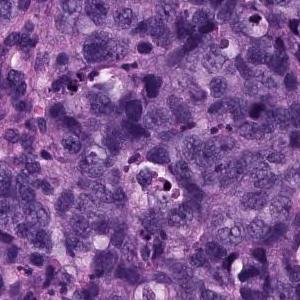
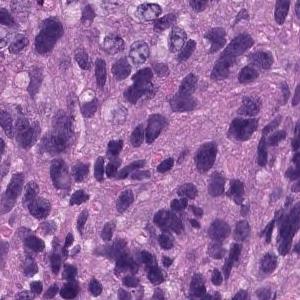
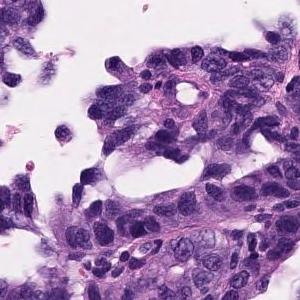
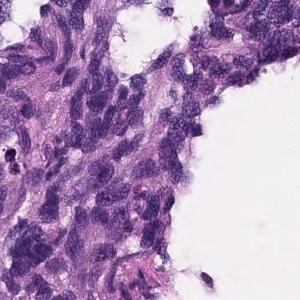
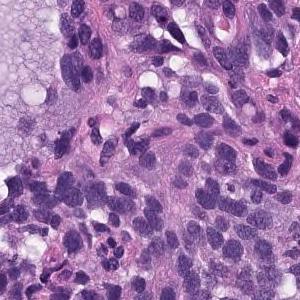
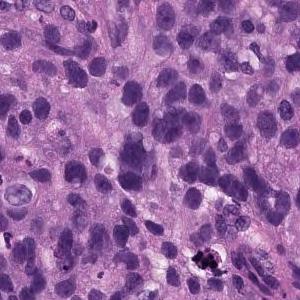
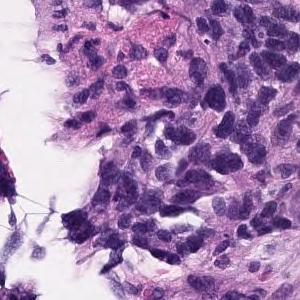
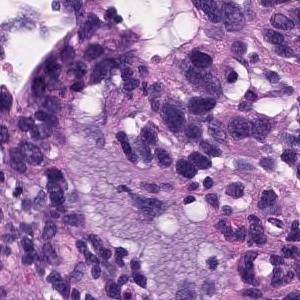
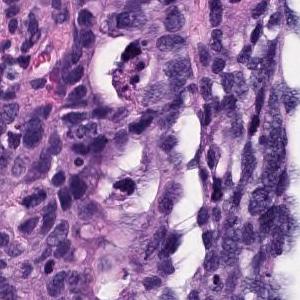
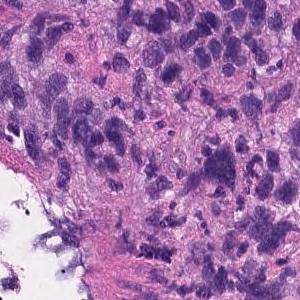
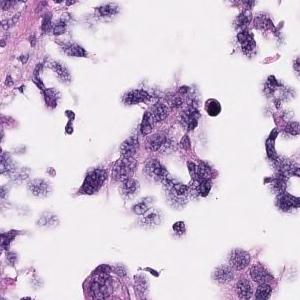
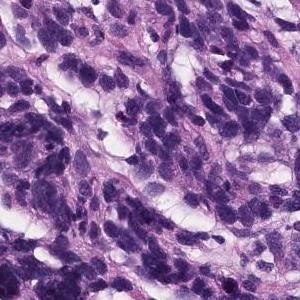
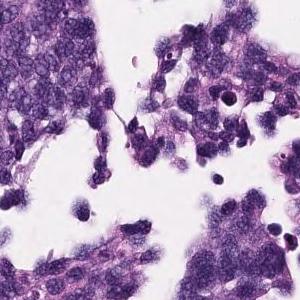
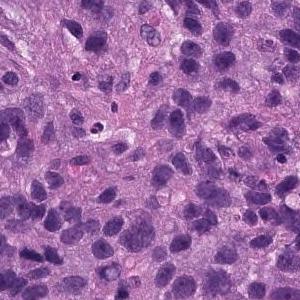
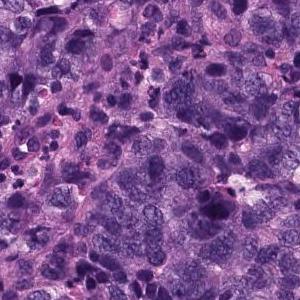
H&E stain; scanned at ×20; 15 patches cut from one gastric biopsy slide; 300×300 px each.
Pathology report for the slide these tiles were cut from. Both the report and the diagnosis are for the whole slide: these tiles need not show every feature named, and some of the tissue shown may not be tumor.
Atypical l cells with atypical nuclei under the mucosa growing in isolation and scattered. Poorly differentiated adenocarcinoma (poorly differentiated adenocarcinoma, non-solid type)
Histologic type: Poorly differentiated adenocarcinoma, non-solid type.
The term "non-solid type" comes from the Japanese Classification of Gastric Carcinoma.
